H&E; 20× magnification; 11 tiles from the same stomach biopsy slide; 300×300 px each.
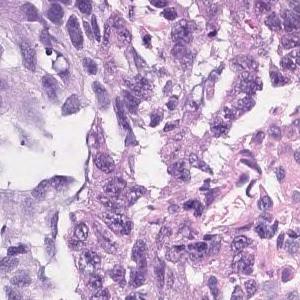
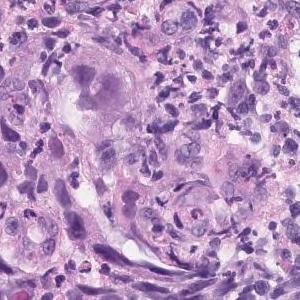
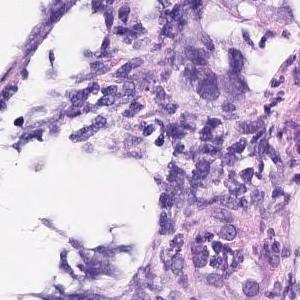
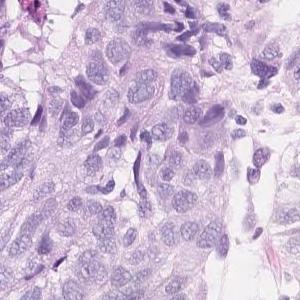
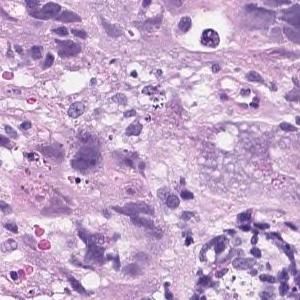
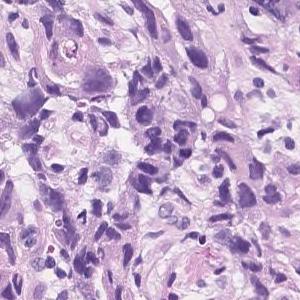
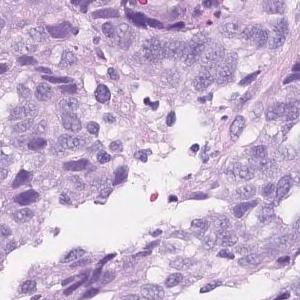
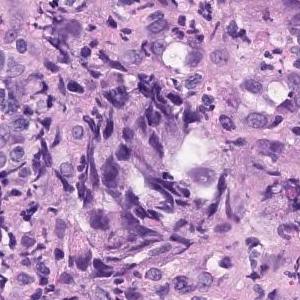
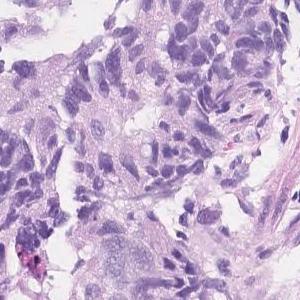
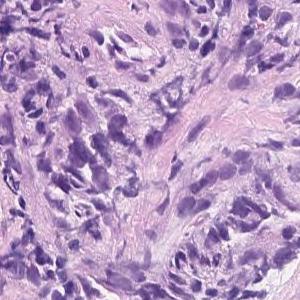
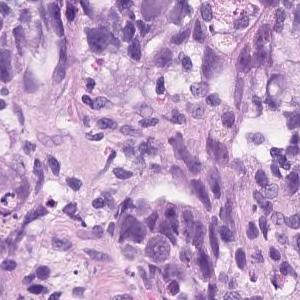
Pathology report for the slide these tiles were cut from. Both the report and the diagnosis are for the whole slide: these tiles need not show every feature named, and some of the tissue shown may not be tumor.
Atypical epithelial cells infiltrating and proliferating diffusely or while forming vesicles is observed. Poorly differentiated adenocarcinoma (poorly differentiated adenocarcinoma, solid type moderately differentiated tubular adenocarcinoma)
Labeled in the dataset as poorly differentiated adenocarcinoma, solid type. This name comes from the Japanese Classification of Gastric Carcinoma; the WHO 2019 classification calls it tubular adenocarcinoma, poorly differentiated.
